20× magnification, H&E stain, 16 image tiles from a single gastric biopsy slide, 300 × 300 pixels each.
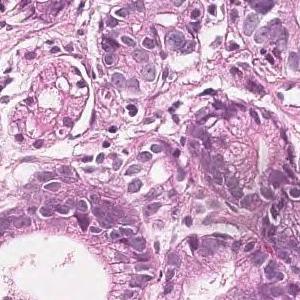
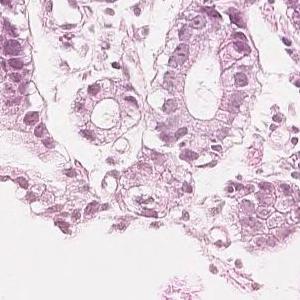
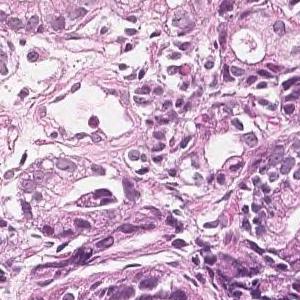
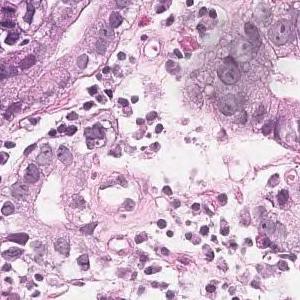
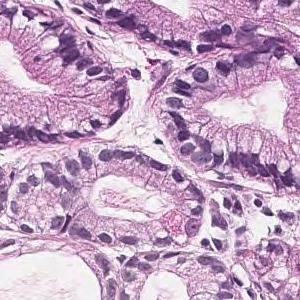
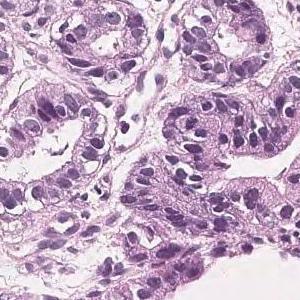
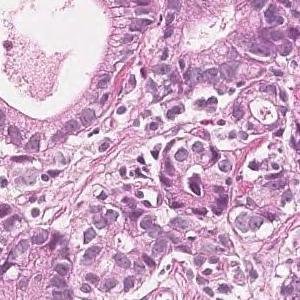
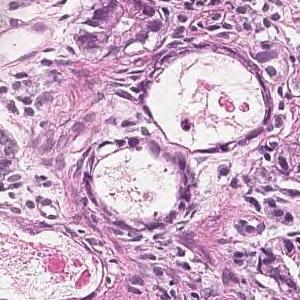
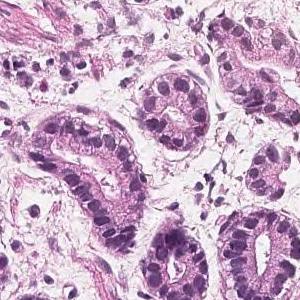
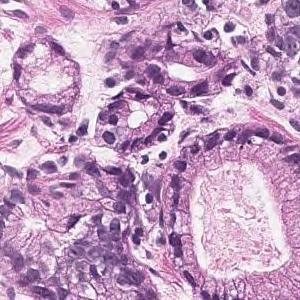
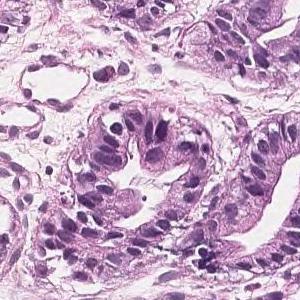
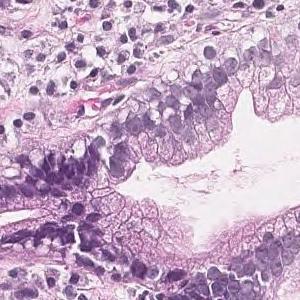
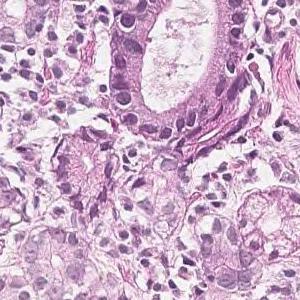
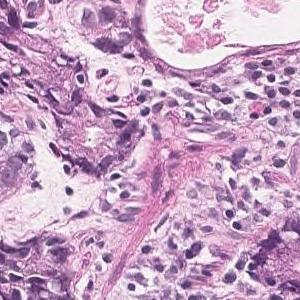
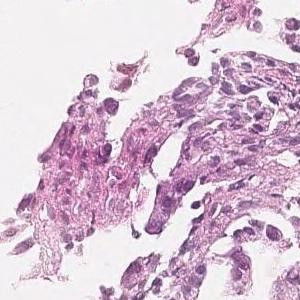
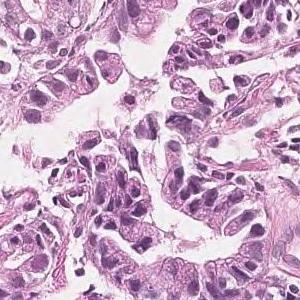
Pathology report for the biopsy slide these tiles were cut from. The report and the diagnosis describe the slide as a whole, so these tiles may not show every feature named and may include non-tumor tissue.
In the superficial epithelium, tumor tissue that invades by forming medium-sized to small, irregular ducts is observed. moderately differentiated tubular adenocarcinoma.
